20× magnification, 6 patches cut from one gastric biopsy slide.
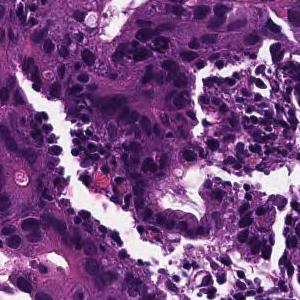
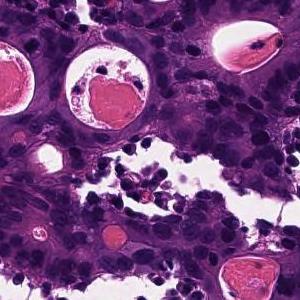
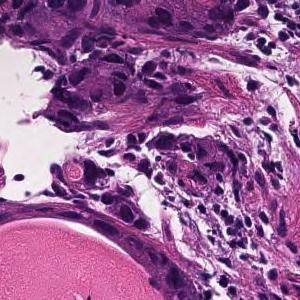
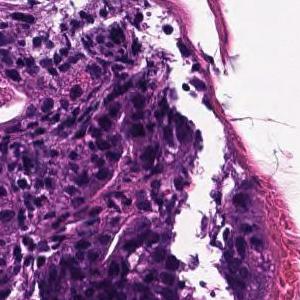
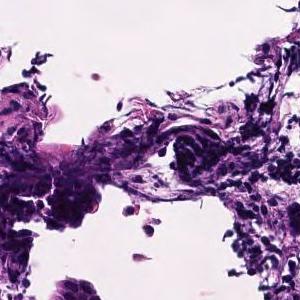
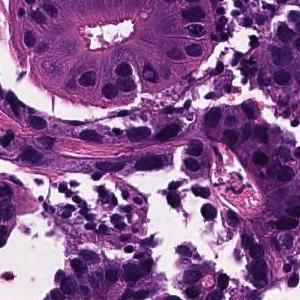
Pathology report for the biopsy slide these tiles were cut from. The report describes the whole slide, diagnosis included: not every finding it names need appear in these tiles, which may also show non-tumor tissue.
From the superficial epithelium to the muscularis mucosae, tumor tissue infiltrating by forming medium-sized irregular gland ducts is observed. Large tumor cells exhibit large nucleus and hyperchromatism. Well differentiated tubular adenocarcinoma
